×20 · 11 image tiles from a single gastric biopsy slide · 300×300 px each.
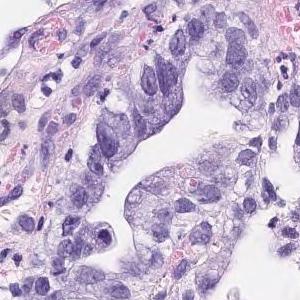
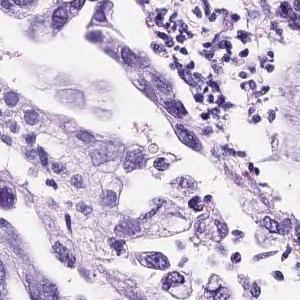
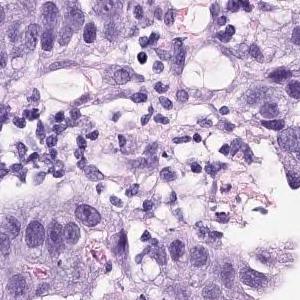
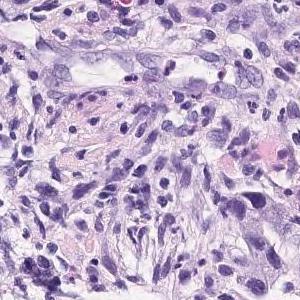
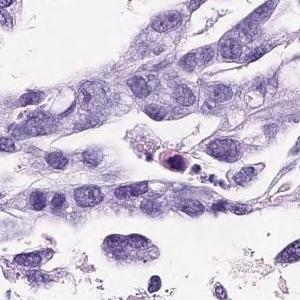
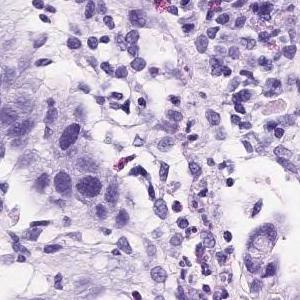
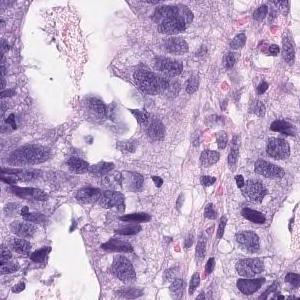
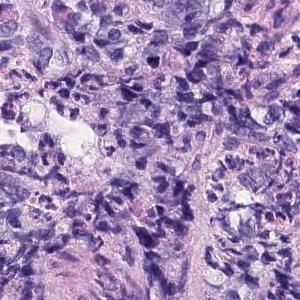
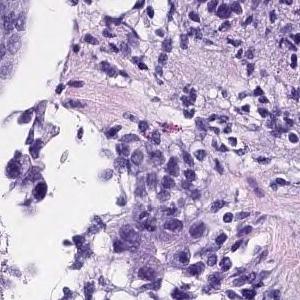
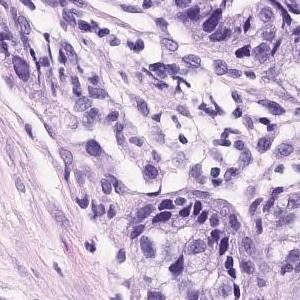
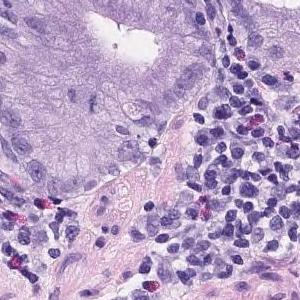
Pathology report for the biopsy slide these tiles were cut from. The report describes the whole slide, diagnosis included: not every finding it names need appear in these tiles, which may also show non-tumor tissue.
On the superficial epithelium, tumor tissue consisting of medium to small irregular tubules partially fused and proliferated is observed. moderately differentiated tubular adenocarcinoma
